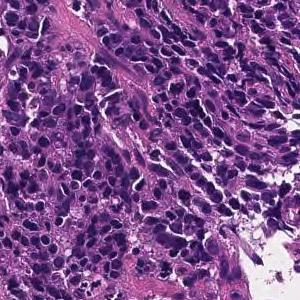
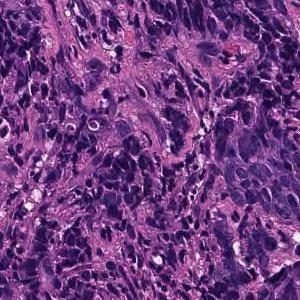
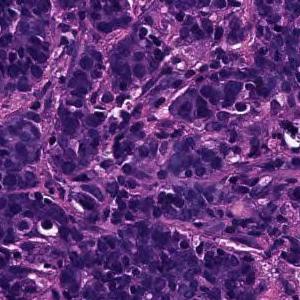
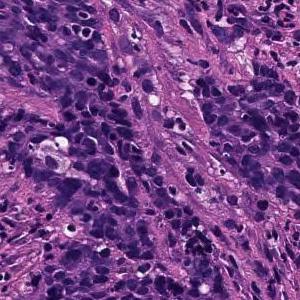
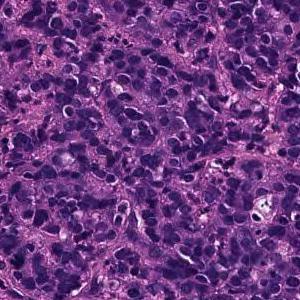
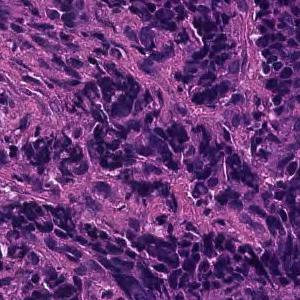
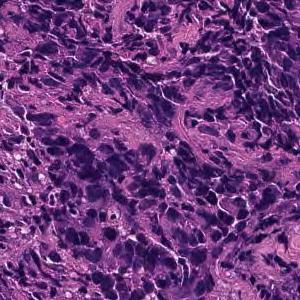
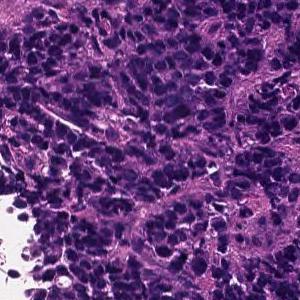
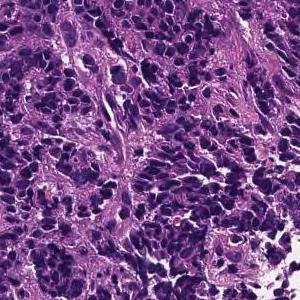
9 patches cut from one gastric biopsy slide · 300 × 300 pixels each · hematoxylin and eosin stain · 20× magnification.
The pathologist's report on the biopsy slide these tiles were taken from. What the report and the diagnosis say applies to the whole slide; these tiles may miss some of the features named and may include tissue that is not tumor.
Tumor tissue consisting of cord-like or small, irregular glandular ducts fused and infiltrated is observed in the superficial epithelium. Poorly differentiated adenocarcinoma, non-solid type
The term "non-solid type" comes from the Japanese Classification of Gastric Carcinoma.
